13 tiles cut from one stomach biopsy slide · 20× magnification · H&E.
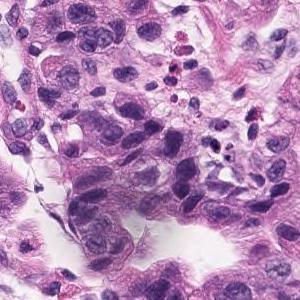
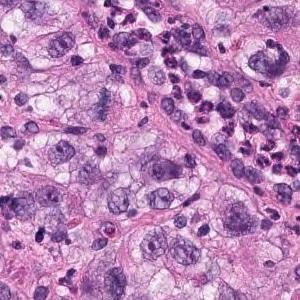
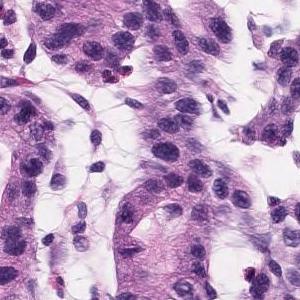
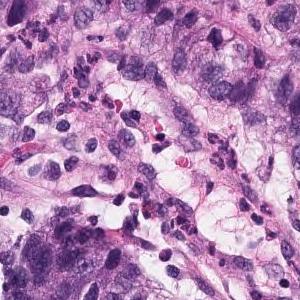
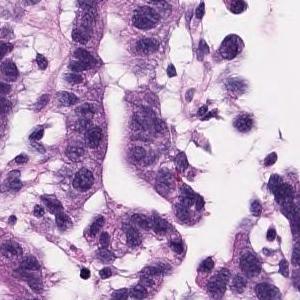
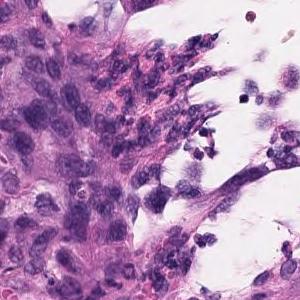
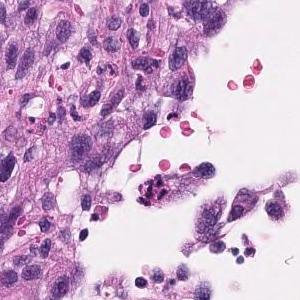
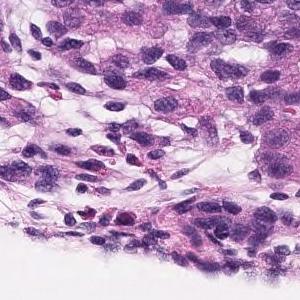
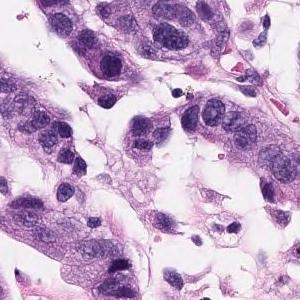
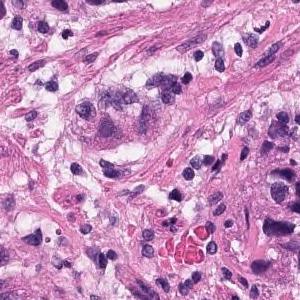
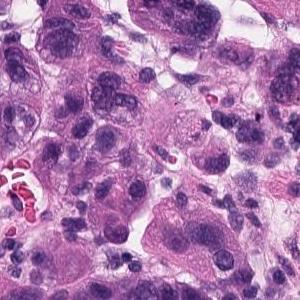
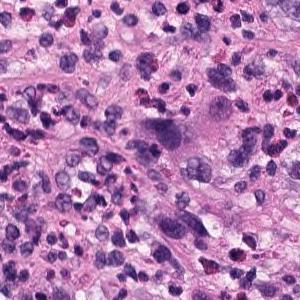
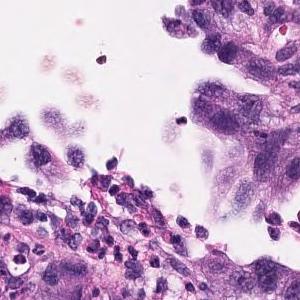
The pathologist's report on the biopsy slide these tiles were taken from. What the report and the diagnosis say applies to the whole slide; these tiles may miss some of the features named and may include tissue that is not tumor.
Atypical l cells with atypical nuclei forming diffuse or small irregular atypical ducts and growing. Moderately to poorly differentiated adenocarcinoma (poorly differentiated adenocarcinoma, solid type, moderately differentiated tubular adenocarcinoma)
Histological subtype: Moderately to poorly differentiated adenocarcinoma.
The term "solid type" comes from the Japanese Classification of Gastric Carcinoma; the WHO 2019 equivalent is tubular adenocarcinoma, poorly differentiated.
